Hematoxylin and eosin stain · 20× magnification · 10 tiles cut from one stomach biopsy slide · 300 × 300 pixels each.
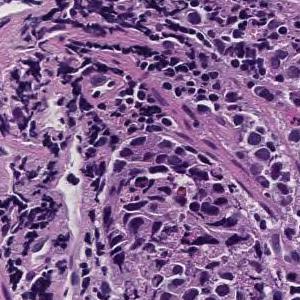
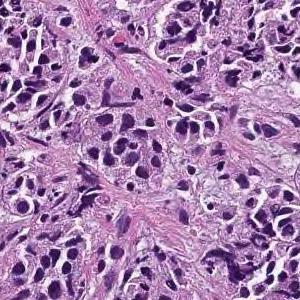
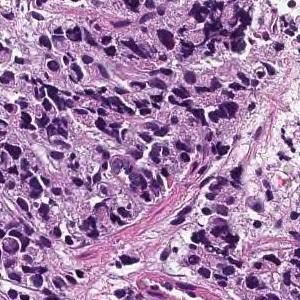
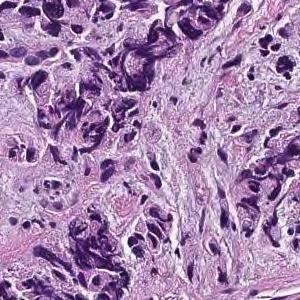
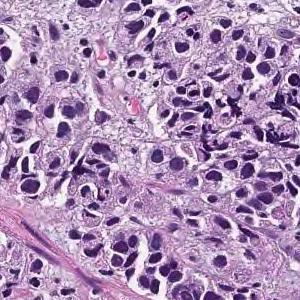
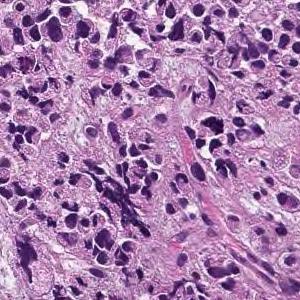
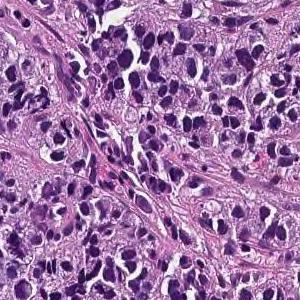
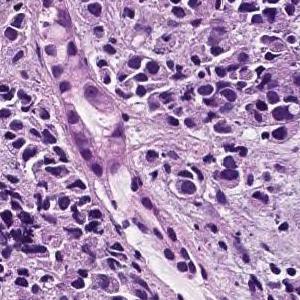
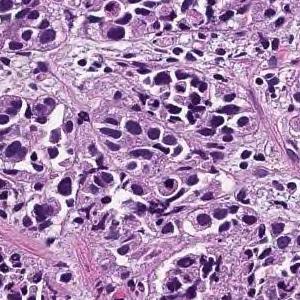
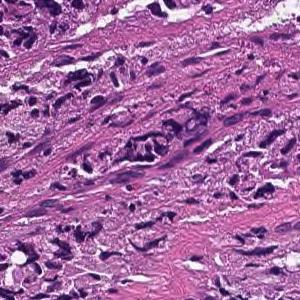
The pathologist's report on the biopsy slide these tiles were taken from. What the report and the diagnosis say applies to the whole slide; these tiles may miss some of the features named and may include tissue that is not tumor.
The lamina propria shows small cord-like tumor tissue that infiltrates with fibrosis and marked chronic inflammatory cell infiltration. Poorly differentiated adenocarcinoma, non-solid type
The term "non-solid type" comes from the Japanese Classification of Gastric Carcinoma.
